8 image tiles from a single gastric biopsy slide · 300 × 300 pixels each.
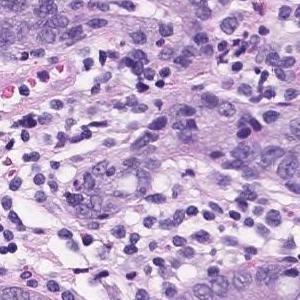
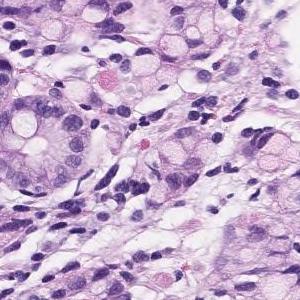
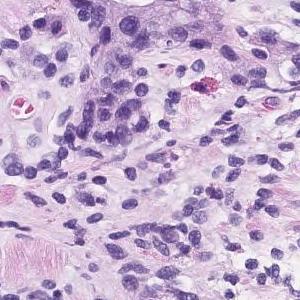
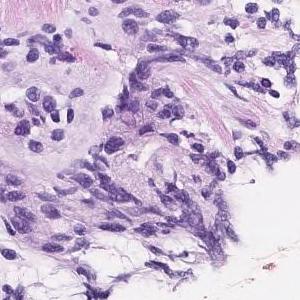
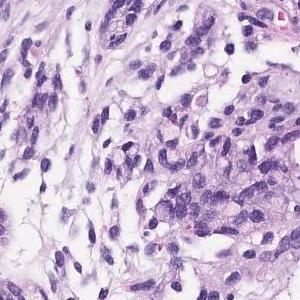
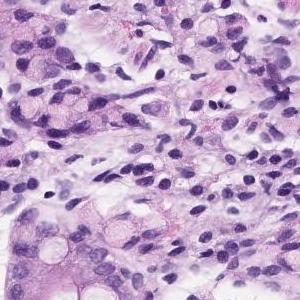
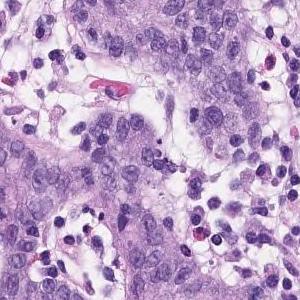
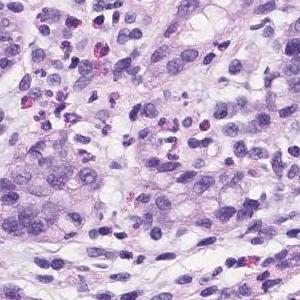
Pathology report for the biopsy slide these tiles were cut from. Both the report and the diagnosis are for the whole slide: these tiles need not show every feature named, and some of the tissue shown may not be tumor.
Atypical l cells with atypical nuclei forming diffuse or small irregular atypical ducts and growing. Moderately to poorly differentiated adenocarcinoma (poorly differentiated adenocarcinoma, solid type moderately differentiated tubular adenocarcinoma)
Tumor subtype: moderately to poorly differentiated adenocarcinoma.
"Solid type" is a category of the Japanese Classification of Gastric Carcinoma; in the WHO 2019 classification it is tubular adenocarcinoma, poorly differentiated.
